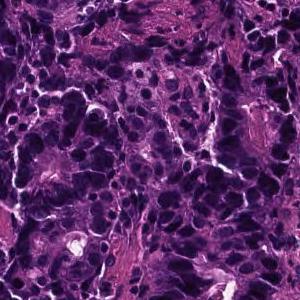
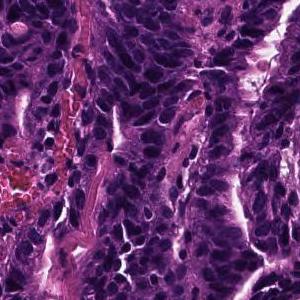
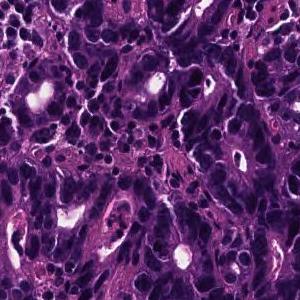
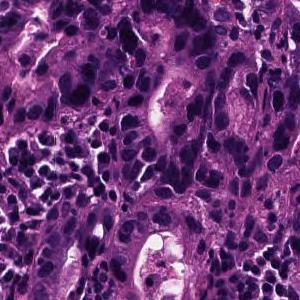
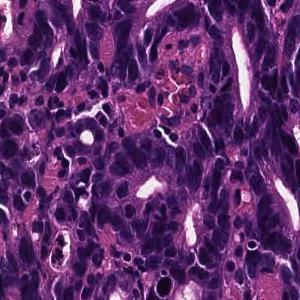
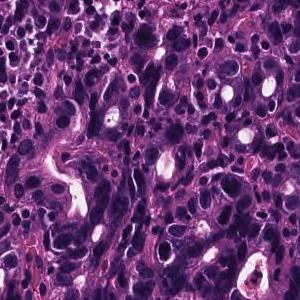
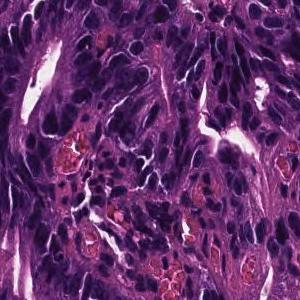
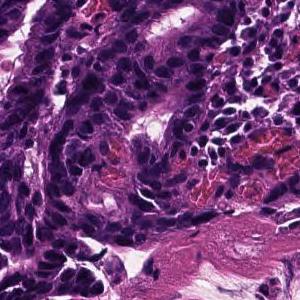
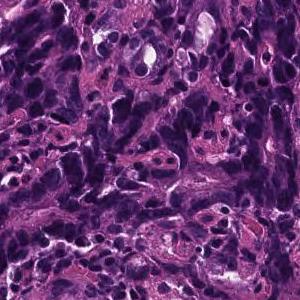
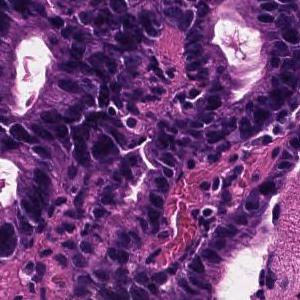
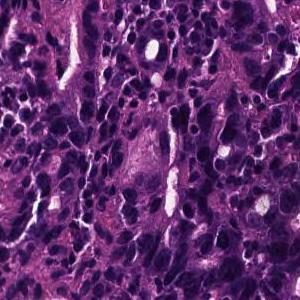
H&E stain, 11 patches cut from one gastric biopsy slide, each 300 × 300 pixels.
Diagnostic report for the slide these tiles come from. The findings and the diagnosis refer to the entire slide; these tiles show only part of it, possibly with non-tumor tissue, and may not show every feature named.
On the superficial epithelium, tumor tissue consisting of large, irregular glandular ducts partially fused and infiltrated is observed. Well to moderately differentiated tubular adenocarcinoma (well differentiated tubular adenocarcinoma, moderately differentiated tubular adenocarcinoma)
Tumor subtype: well to moderately differentiated tubular adenocarcinoma.
